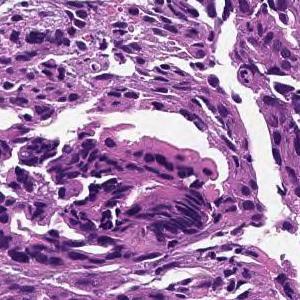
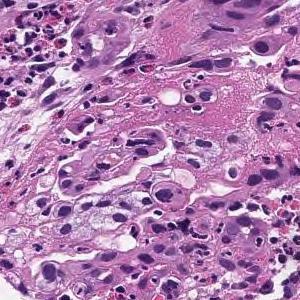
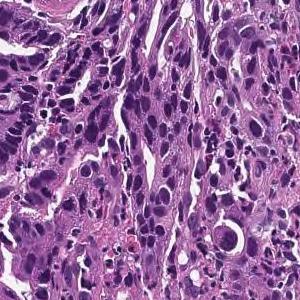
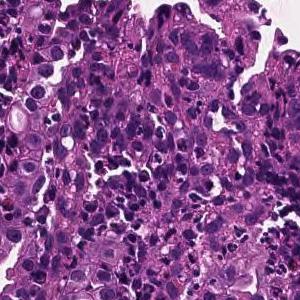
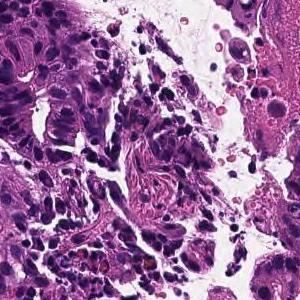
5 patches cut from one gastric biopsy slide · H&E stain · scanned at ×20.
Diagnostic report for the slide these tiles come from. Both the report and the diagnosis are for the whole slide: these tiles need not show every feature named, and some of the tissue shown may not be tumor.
In the superficial epithelium, tumor tissue that invades by forming medium-sized to small, irregular ducts is observed. moderately differentiated tubular adenocarcinoma.
